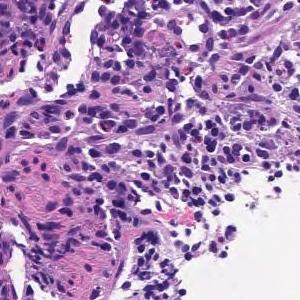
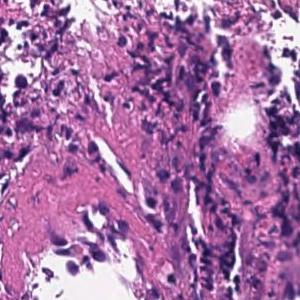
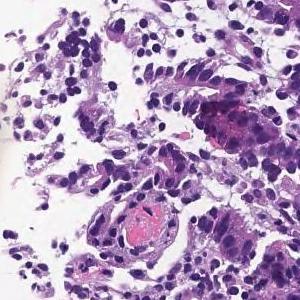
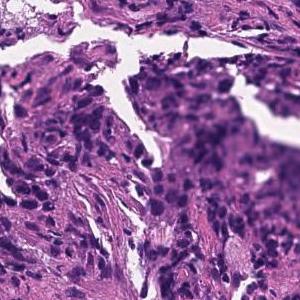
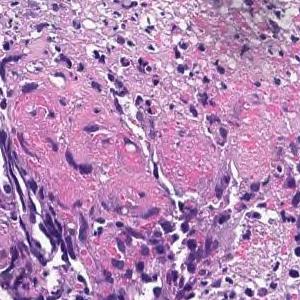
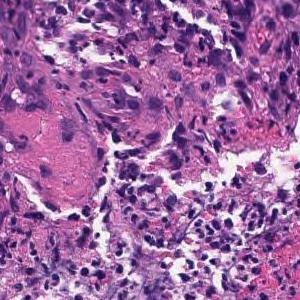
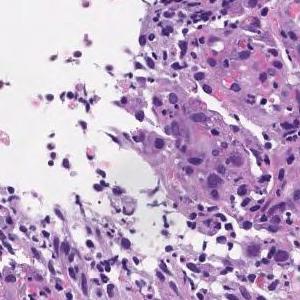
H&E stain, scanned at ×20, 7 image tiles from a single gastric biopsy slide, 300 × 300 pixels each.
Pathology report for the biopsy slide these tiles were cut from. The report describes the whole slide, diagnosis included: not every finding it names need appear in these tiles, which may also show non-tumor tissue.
On the superficial epithelium, tumor tissue consisting of large irregular glandular ducts partially fused and infiltrated is observed. Well to moderately differentiated tubular adenocarcinoma (well differentiated tubular adenocarcinoma, moderately differentiated tubular adenocarcinoma)
Tumor subtype: well to moderately differentiated tubular adenocarcinoma.
